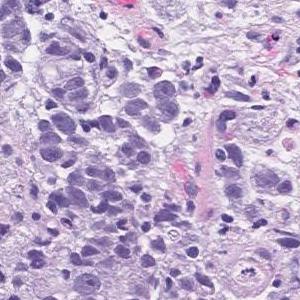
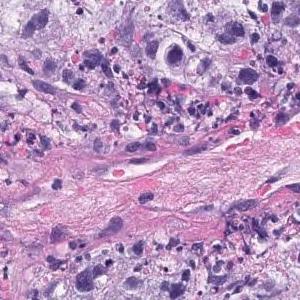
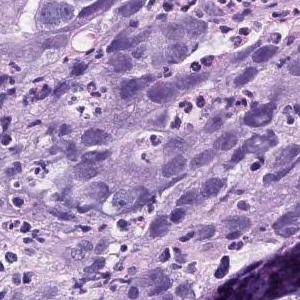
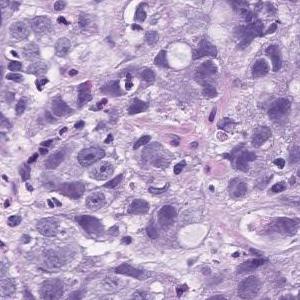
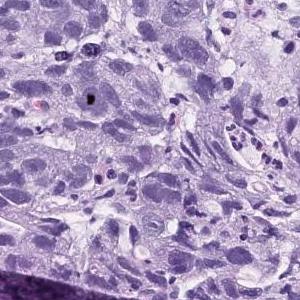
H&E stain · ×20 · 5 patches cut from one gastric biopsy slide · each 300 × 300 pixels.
Diagnostic report for the slide these tiles come from. The findings and the diagnosis refer to the entire slide; these tiles show only part of it, possibly with non-tumor tissue, and may not show every feature named.
Atypical l cells with atypical nuclei forming solid vesicles or small irregular atypical ducts that proliferate in a complex manner. poorly differentiated adenocarcinoma, solid type, moderately differentiated tubular adenocarcinoma
The solid type named here is a Japanese Classification of Gastric Carcinoma category; WHO 2019 calls it tubular adenocarcinoma, poorly differentiated.
